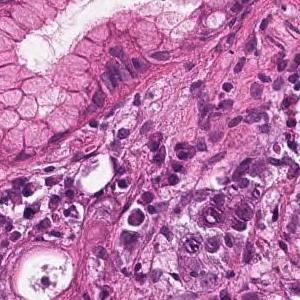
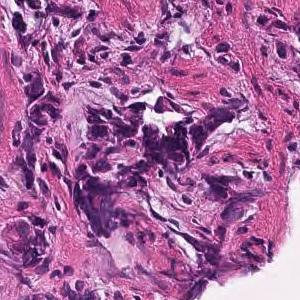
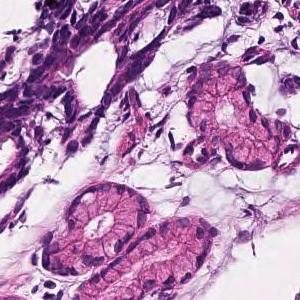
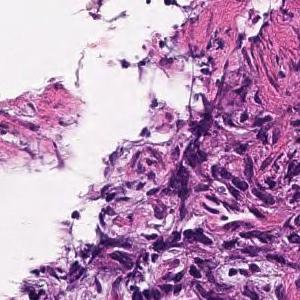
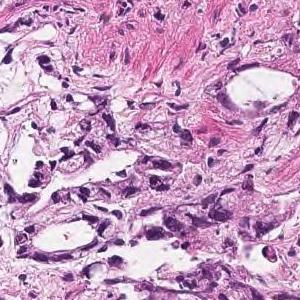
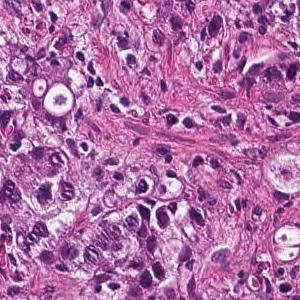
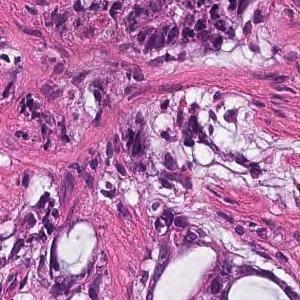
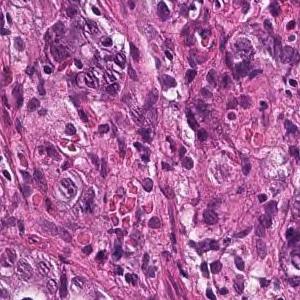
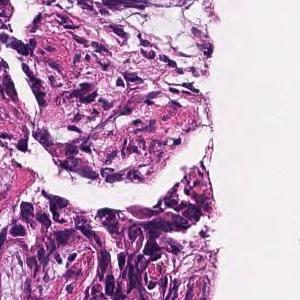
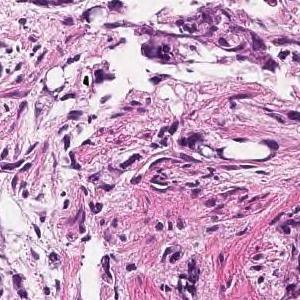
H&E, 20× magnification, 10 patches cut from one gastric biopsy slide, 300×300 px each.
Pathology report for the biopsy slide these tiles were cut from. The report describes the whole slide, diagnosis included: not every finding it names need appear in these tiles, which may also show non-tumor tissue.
In the gastric mucosal tissue, tumor tissue that forms irregular glandular cavities of medium to small size or shows small cords and infiltrates is observed. moderately differentiated tubular adenocarcinoma
